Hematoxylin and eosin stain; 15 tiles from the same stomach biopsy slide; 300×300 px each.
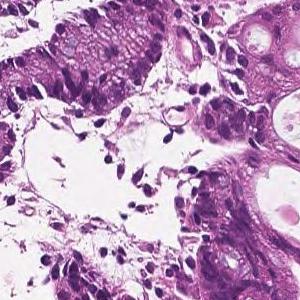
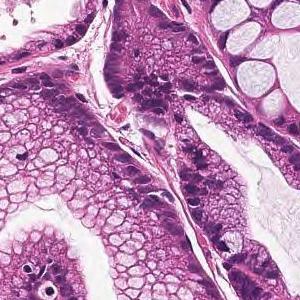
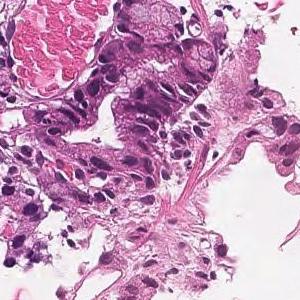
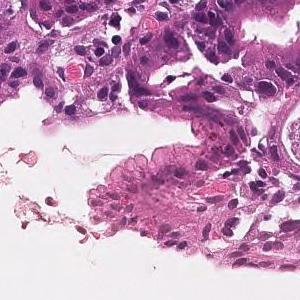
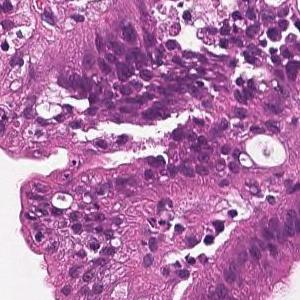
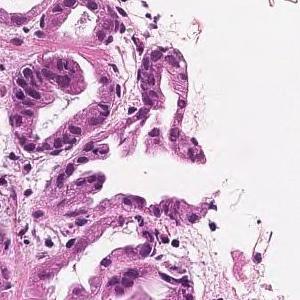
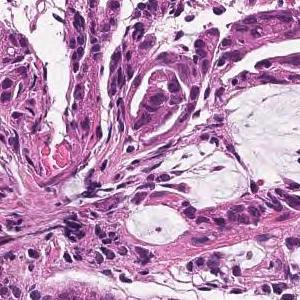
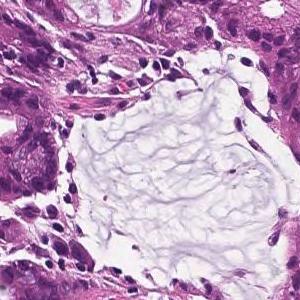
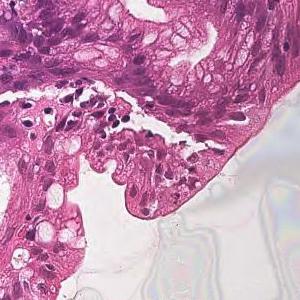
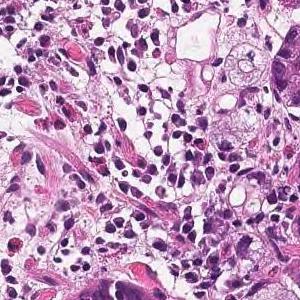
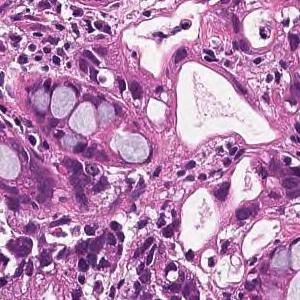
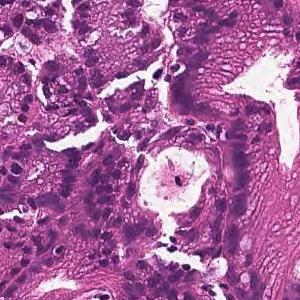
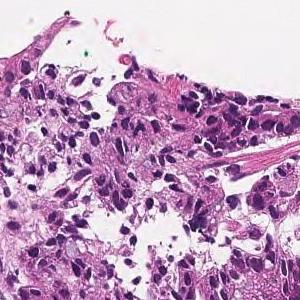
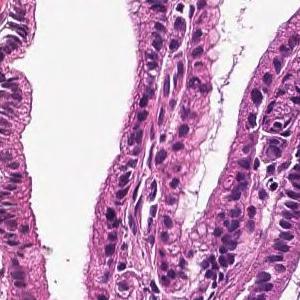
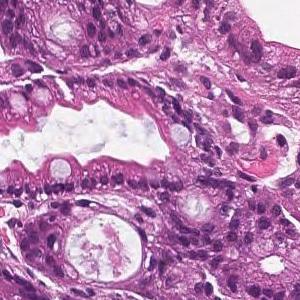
Diagnostic report for the slide these tiles come from. The report and the diagnosis describe the slide as a whole, so these tiles may not show every feature named and may include non-tumor tissue.
In the superficial epithelium, tumor tissue that invades by forming medium-sized to small, irregular ducts is observed. moderately differentiated tubular adenocarcinoma.
